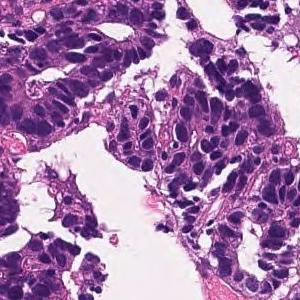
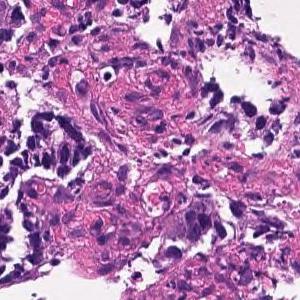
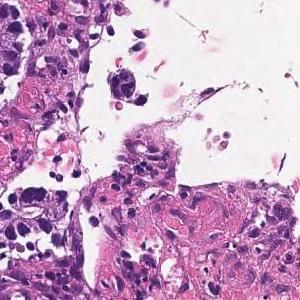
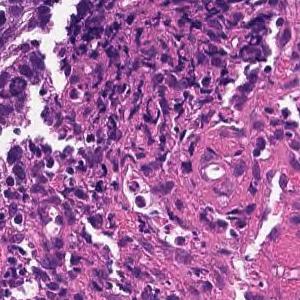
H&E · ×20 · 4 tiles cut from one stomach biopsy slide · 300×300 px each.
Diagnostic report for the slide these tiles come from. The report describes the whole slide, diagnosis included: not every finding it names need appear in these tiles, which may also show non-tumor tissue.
In the superficial epithelium, tumor tissue that invades by forming medium-sized to small, irregular ducts is observed. Moderately differentiated adenocarcinoma (moderately differentiated tubular adenocarcinoma).
Histological subtype: Moderately differentiated tubular adenocarcinoma.
